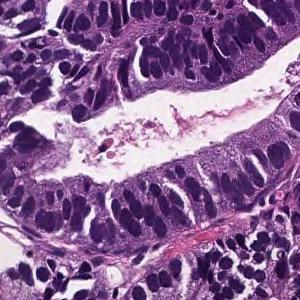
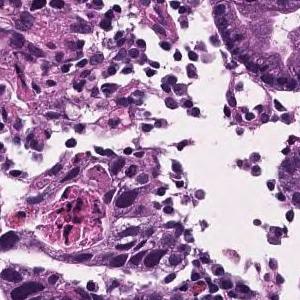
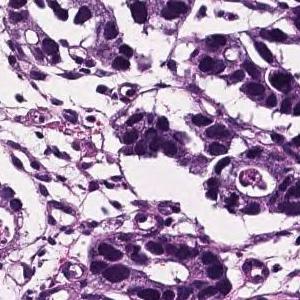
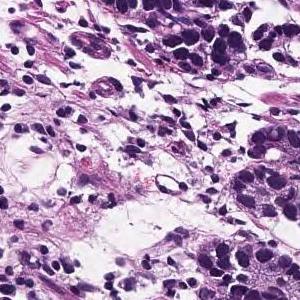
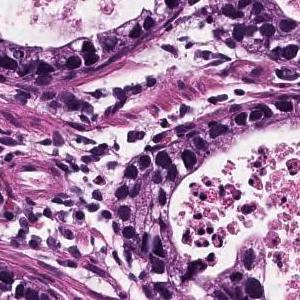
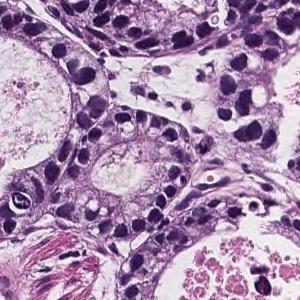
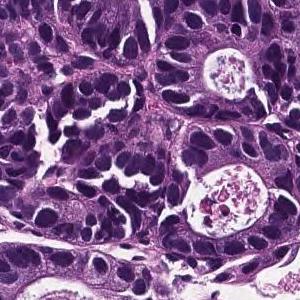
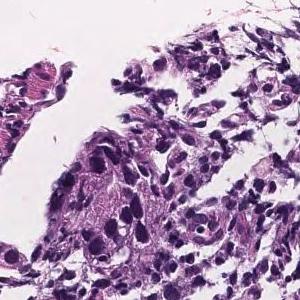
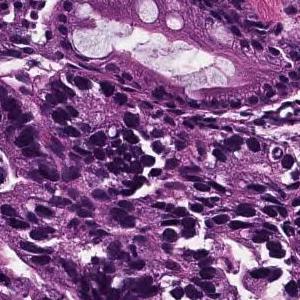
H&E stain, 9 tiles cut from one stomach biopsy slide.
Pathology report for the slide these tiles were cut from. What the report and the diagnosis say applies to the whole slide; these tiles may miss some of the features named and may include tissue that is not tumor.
In the superficial epithelium, tumor tissue that invades by forming medium-sized to small, irregular ducts is observed. Well differentiated tubular adenocarcinoma.
